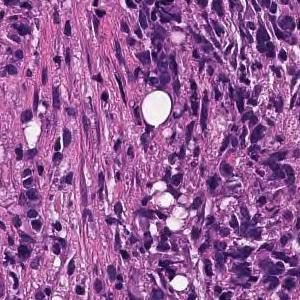
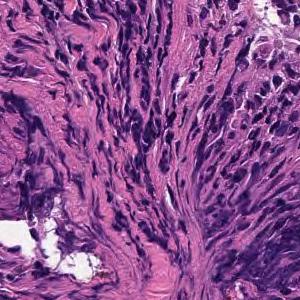
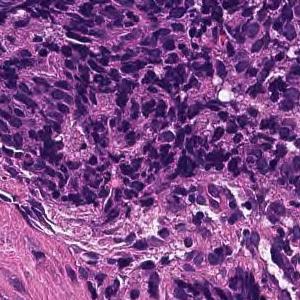
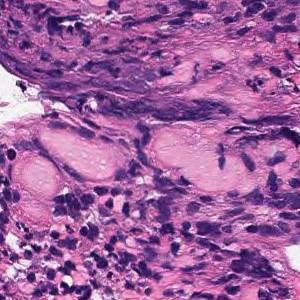
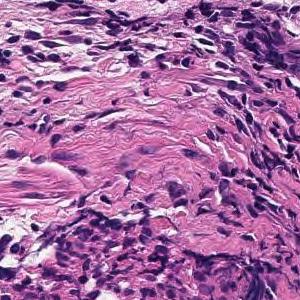
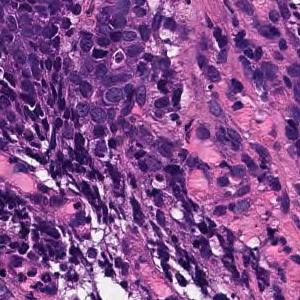
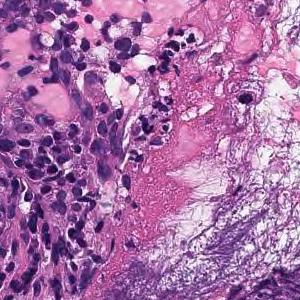
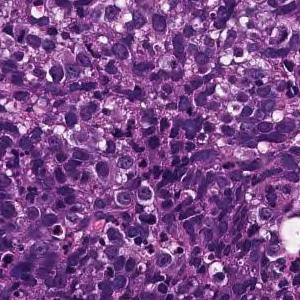
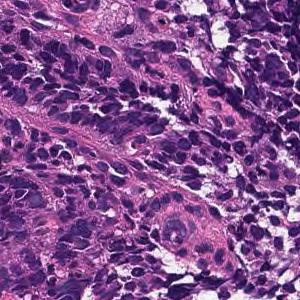
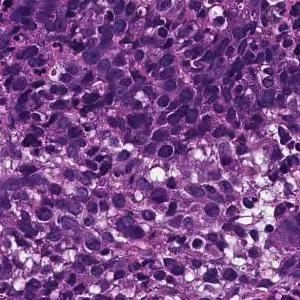
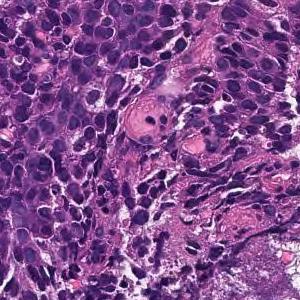
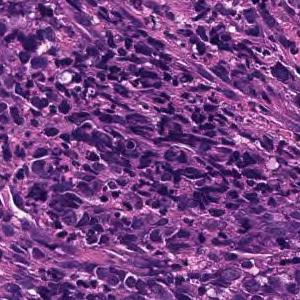
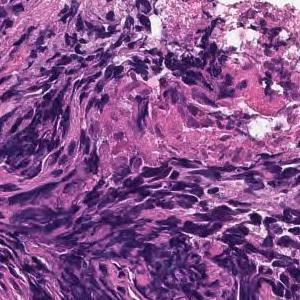
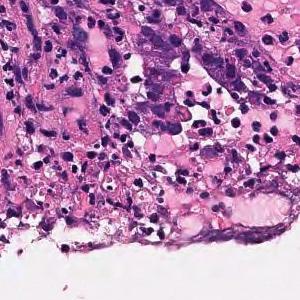
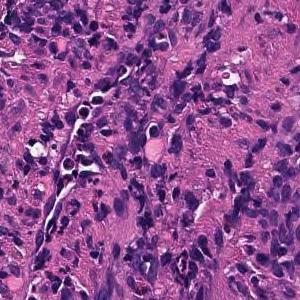
15 image tiles from a single gastric biopsy slide · ×20 · H&E.
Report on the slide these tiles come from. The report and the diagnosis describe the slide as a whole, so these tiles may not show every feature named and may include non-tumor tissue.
Large sheet-like or diffusely infiltrating tumor tissue is found in the superficial epithelium. Poorly differentiated adenocarcinoma, solid-type
Histologic type: Poorly differentiated adenocarcinoma, solid type (Japanese Classification of Gastric Carcinoma). The WHO 2019 equivalent is tubular adenocarcinoma, poorly differentiated.
